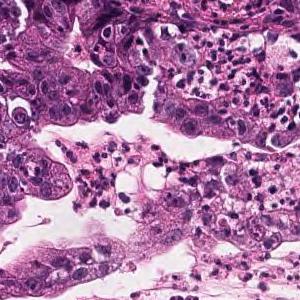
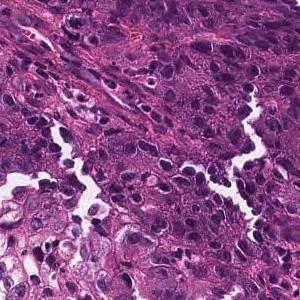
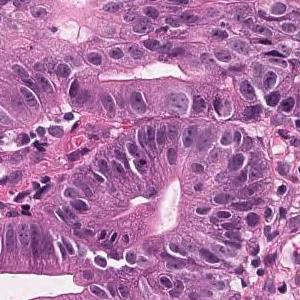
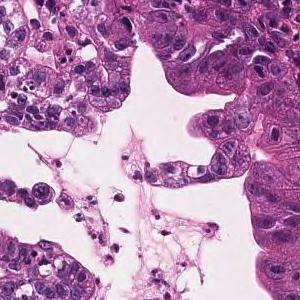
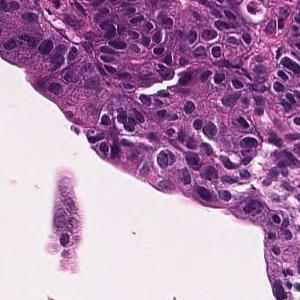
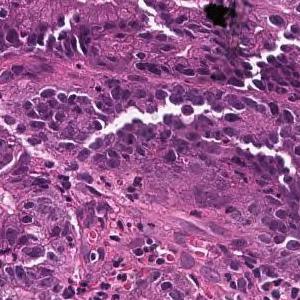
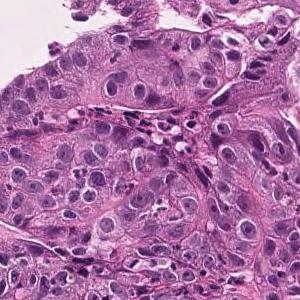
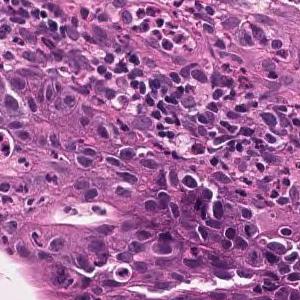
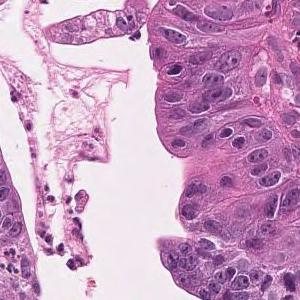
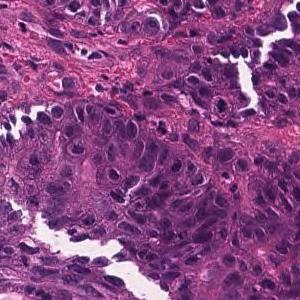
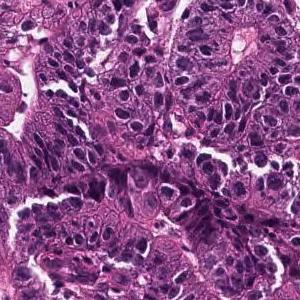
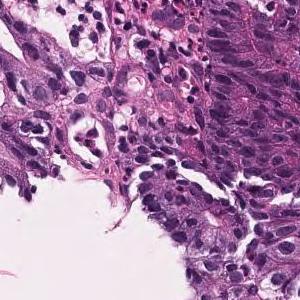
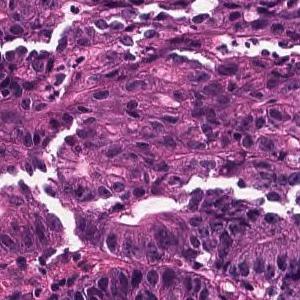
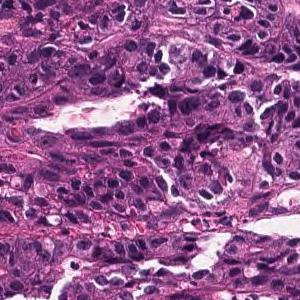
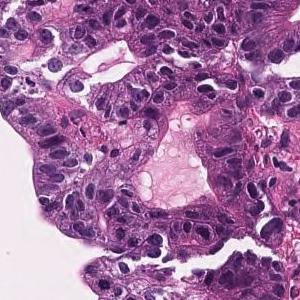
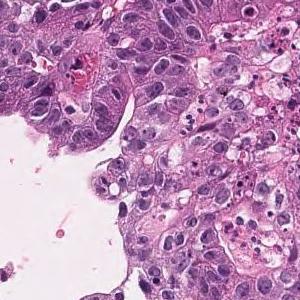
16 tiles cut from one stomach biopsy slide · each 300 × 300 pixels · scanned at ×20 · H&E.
Report on the slide these tiles come from. The report and the diagnosis describe the slide as a whole, so these tiles may not show every feature named and may include non-tumor tissue.
In the superficial epithelium, tumor tissue that invades by forming medium-sized to small, irregular ducts is observed. Well differentiated tubular adenocarcinoma.
